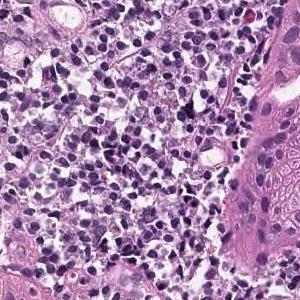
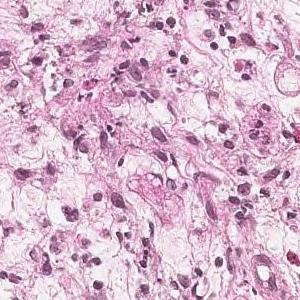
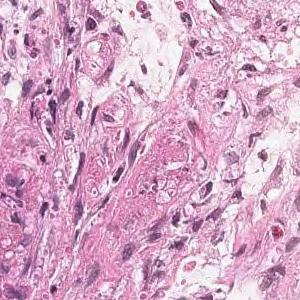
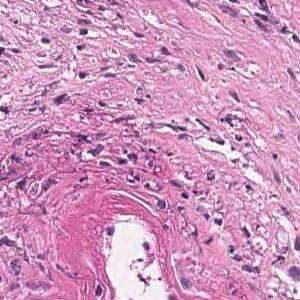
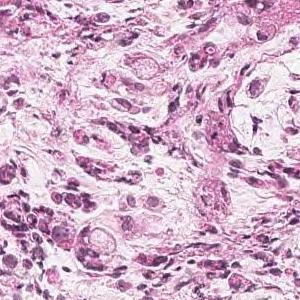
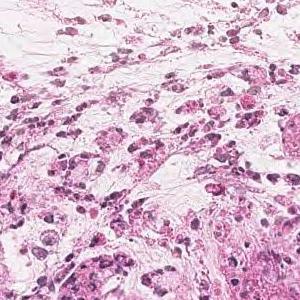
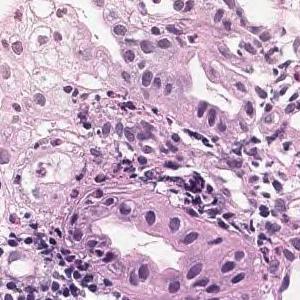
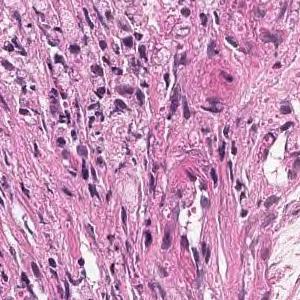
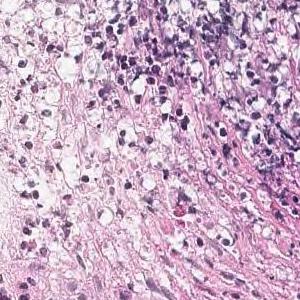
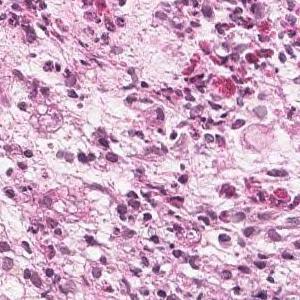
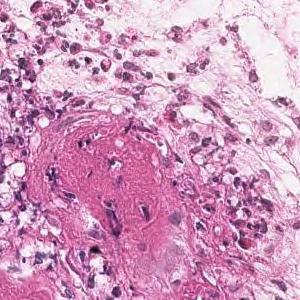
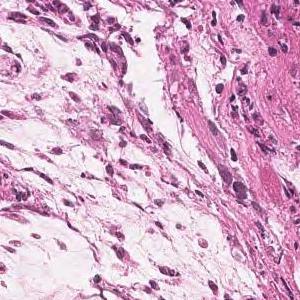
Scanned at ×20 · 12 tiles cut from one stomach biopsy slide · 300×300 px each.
Diagnostic report for the slide these tiles come from. The findings and the diagnosis refer to the entire slide; these tiles show only part of it, possibly with non-tumor tissue, and may not show every feature named.
Tumor tissue is observed in which atypical epithelial cells with mucus in the vesicles proliferate while being isolated. Signet ring cell carcinoma
